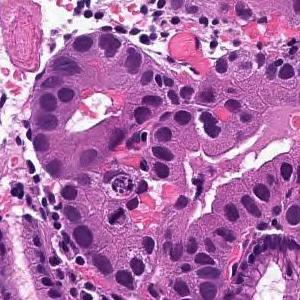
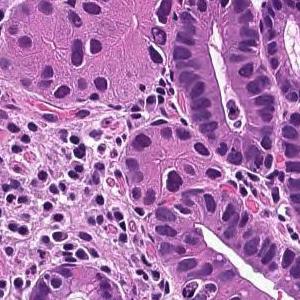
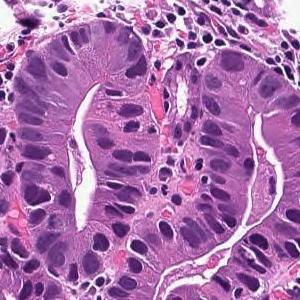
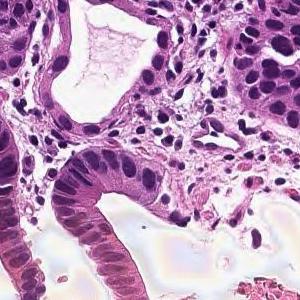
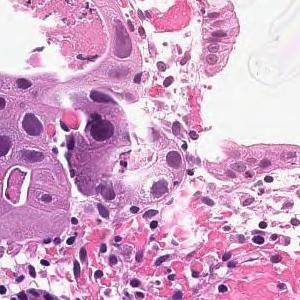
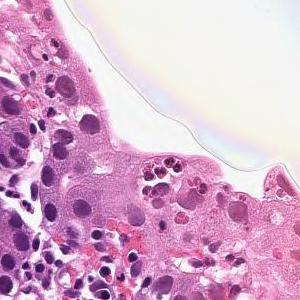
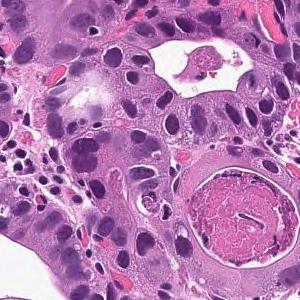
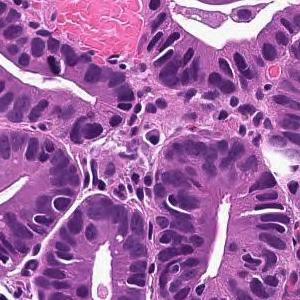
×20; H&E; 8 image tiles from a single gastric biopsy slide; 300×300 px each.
The pathologist's report on the biopsy slide these tiles were taken from. What the report and the diagnosis say applies to the whole slide; these tiles may miss some of the features named and may include tissue that is not tumor.
From the superficial epithelium to the muscularis mucosae, tumor tissue consisting of medium-sized and irregular glandular ducts infiltrating is observed. Well differentiated tubular adenocarcinoma
